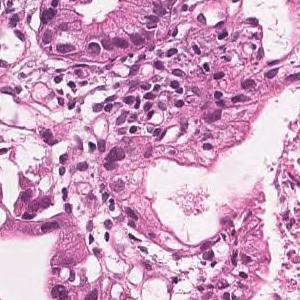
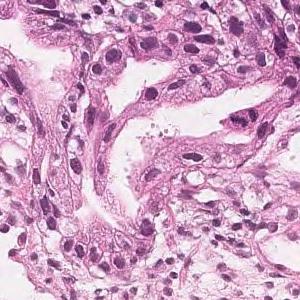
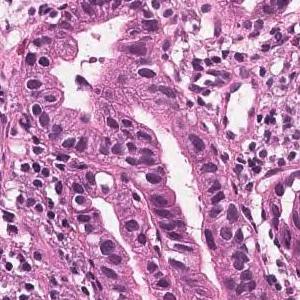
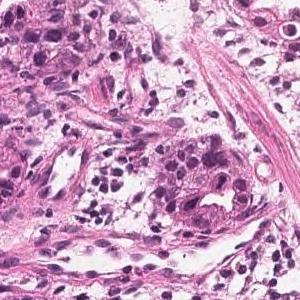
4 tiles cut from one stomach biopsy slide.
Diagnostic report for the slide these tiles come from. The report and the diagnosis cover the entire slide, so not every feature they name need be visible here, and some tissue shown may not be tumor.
Tumor tissue consisting of medium-sized and irregular ducts is observed infiltrating in the superficial epithelium. Tumor cells are highly columnar, with nuclei aligned basolaterally and polarized. Well differentiated tubular adenocarcinoma.
